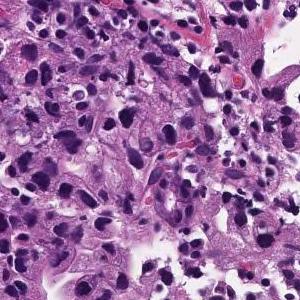
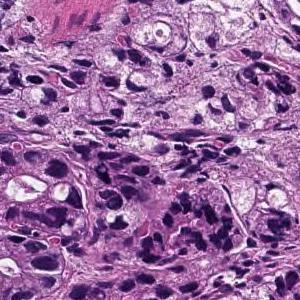
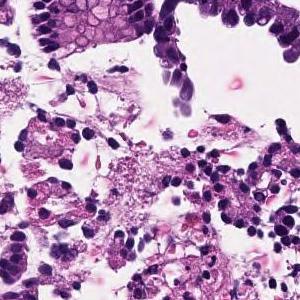
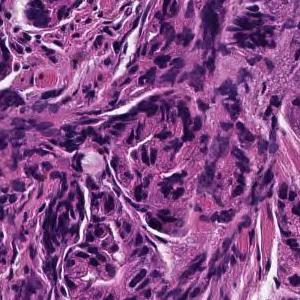
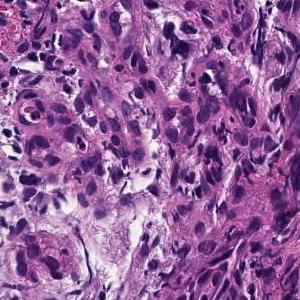
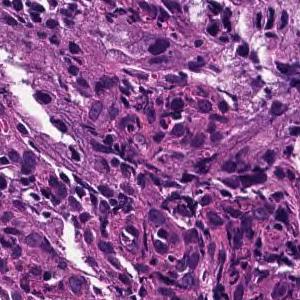
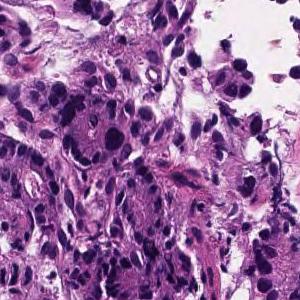
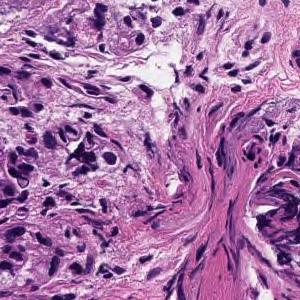
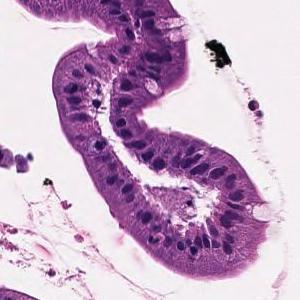
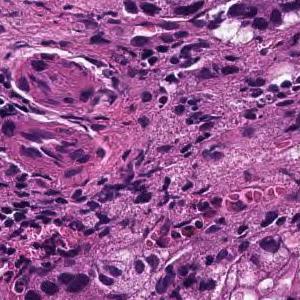
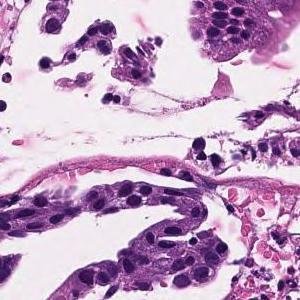
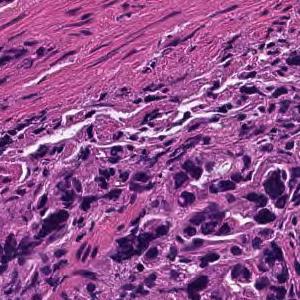
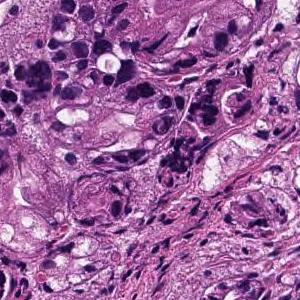
13 tiles cut from one stomach biopsy slide; each 300 × 300 pixels; scanned at ×20; H&E stain.
Pathology report for the biopsy slide these tiles were cut from. What the report and the diagnosis say applies to the whole slide; these tiles may miss some of the features named and may include tissue that is not tumor.
In the superficial epithelium, tumor tissue that invades by forming medium-sized to small, irregular ducts is observed. moderately differentiated tubular adenocarcinoma.
